7 tiles from the same stomach biopsy slide · 20× magnification · hematoxylin and eosin stain.
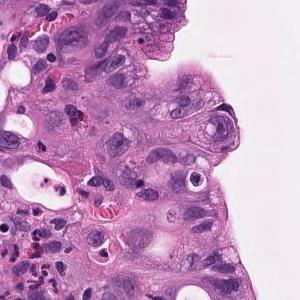
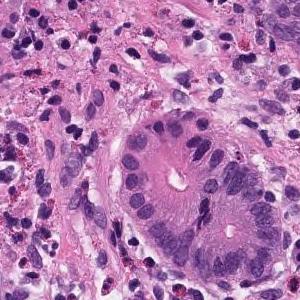
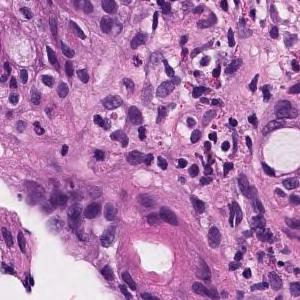
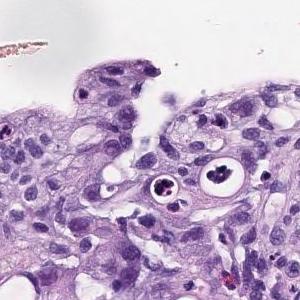
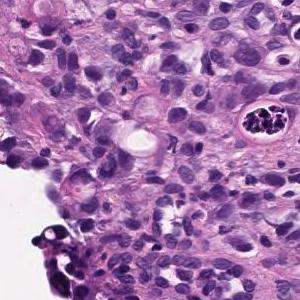
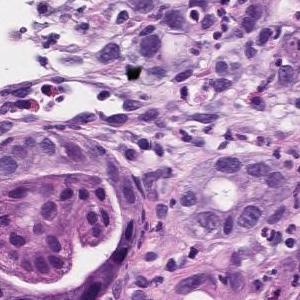
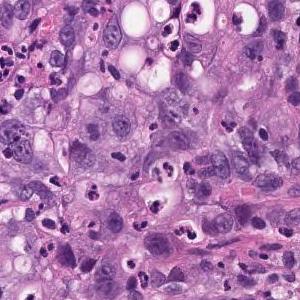
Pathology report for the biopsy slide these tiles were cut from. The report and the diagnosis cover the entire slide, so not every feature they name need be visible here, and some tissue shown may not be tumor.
moderately differentiated tubular adenocarcinoma, Poorly differentiated adenocarcinoma
Labeled in the dataset as poorly differentiated adenocarcinoma, solid type, a category of the Japanese Classification of Gastric Carcinoma; in the WHO 2019 classification it is tubular adenocarcinoma, poorly differentiated.
